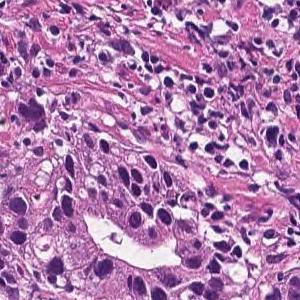
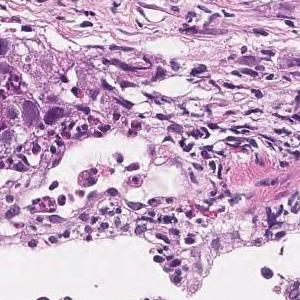
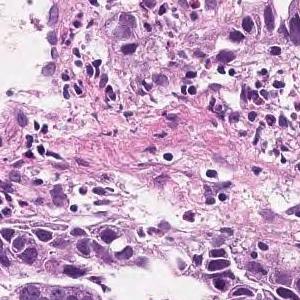
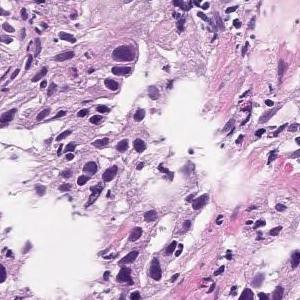
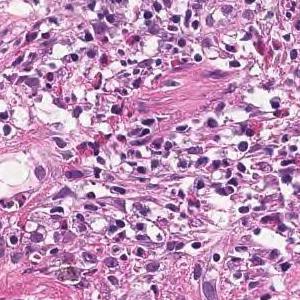
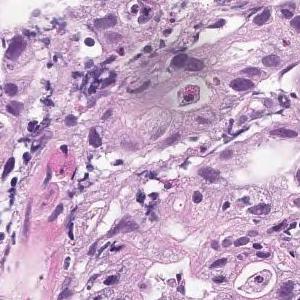
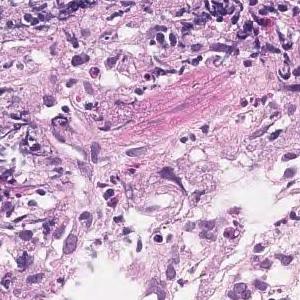
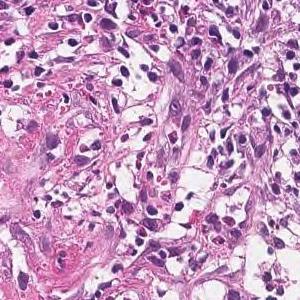
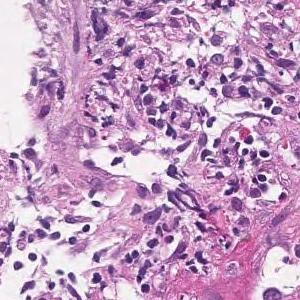
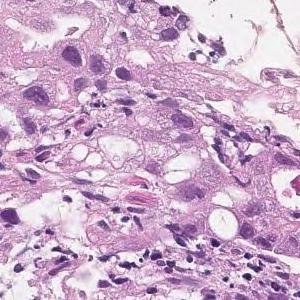
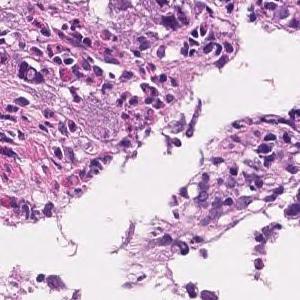
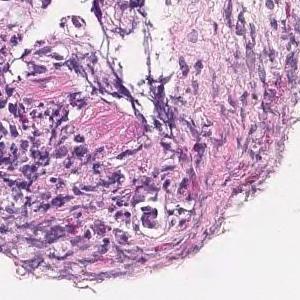
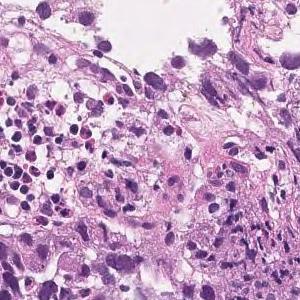
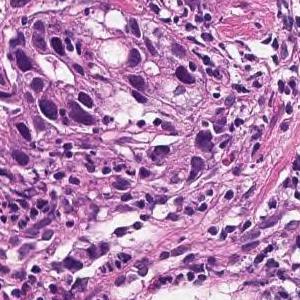
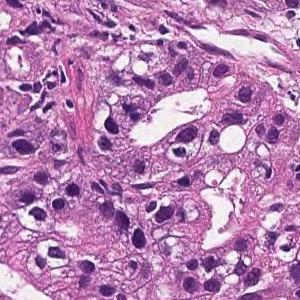
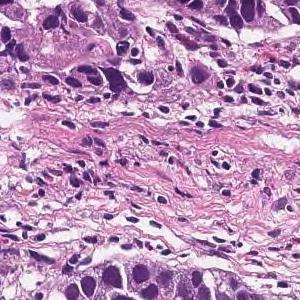
16 image tiles from a single gastric biopsy slide; 300×300 px each; ×20; H&E stain.
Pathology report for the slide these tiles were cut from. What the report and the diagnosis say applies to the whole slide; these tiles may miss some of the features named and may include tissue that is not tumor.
In the superficial epithelium, tumor tissue that invades by forming medium-sized to small, irregular ducts is observed. moderately differentiated tubular adenocarcinoma.
